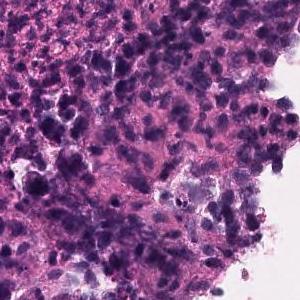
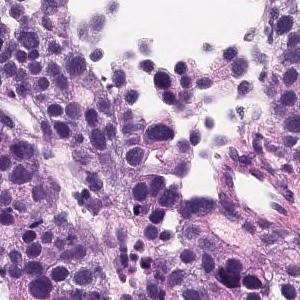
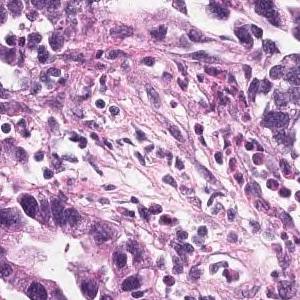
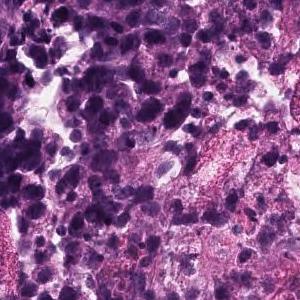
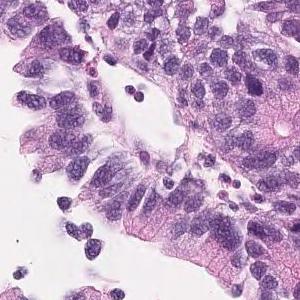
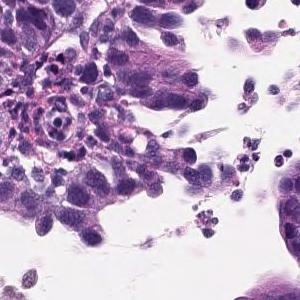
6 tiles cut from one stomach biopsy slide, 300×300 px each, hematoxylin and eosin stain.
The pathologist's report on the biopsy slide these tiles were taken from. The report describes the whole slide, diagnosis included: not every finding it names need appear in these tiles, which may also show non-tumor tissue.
In the superficial epithelium, tumor tissue that invades by forming medium-sized to small, irregular ducts is observed. moderately differentiated tubular adenocarcinoma.
